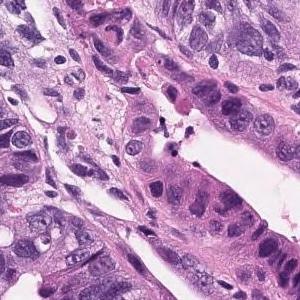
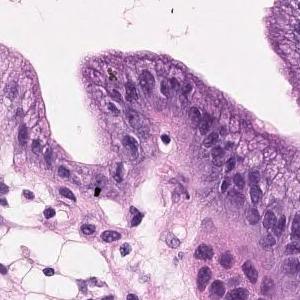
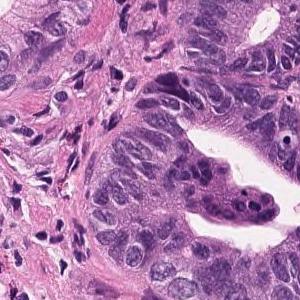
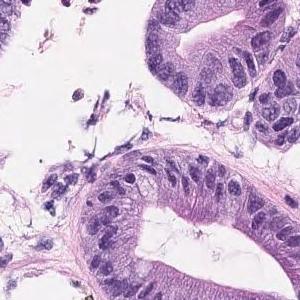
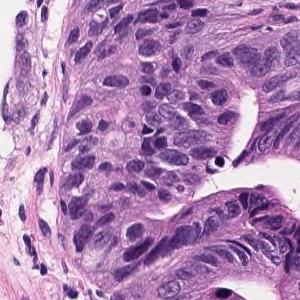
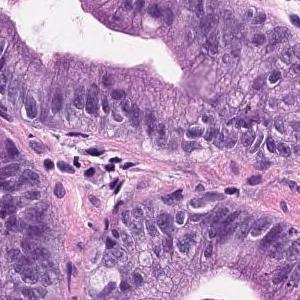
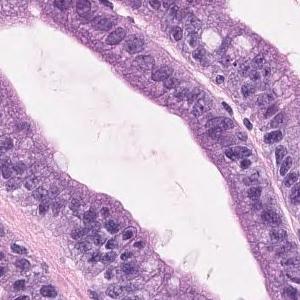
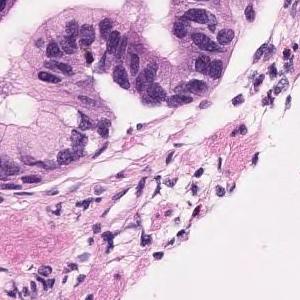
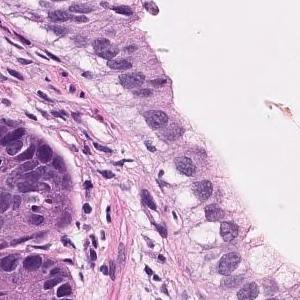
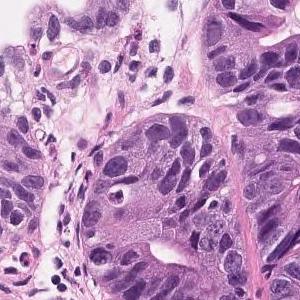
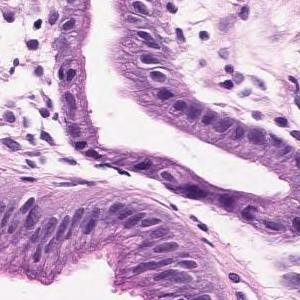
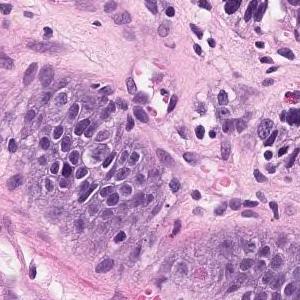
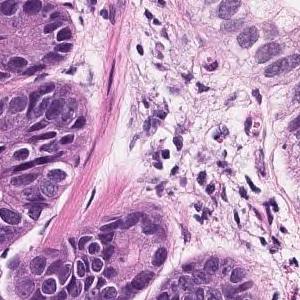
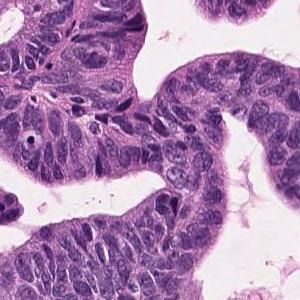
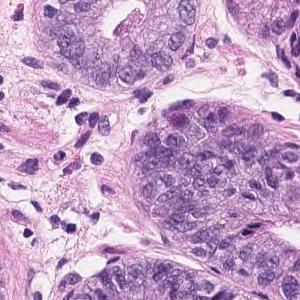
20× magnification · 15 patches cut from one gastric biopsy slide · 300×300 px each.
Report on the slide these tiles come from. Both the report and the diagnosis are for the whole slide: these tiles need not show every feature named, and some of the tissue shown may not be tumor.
Atypical ducts that branch intricately are observed. Well differentiated tubular adenocarcinoma
